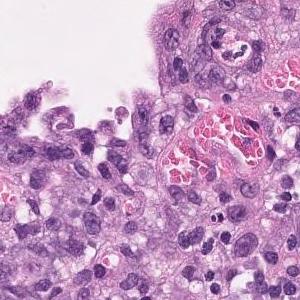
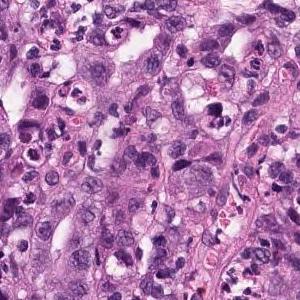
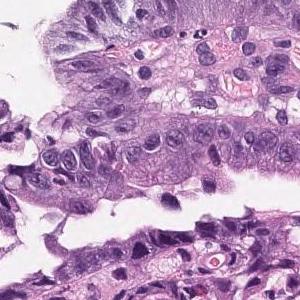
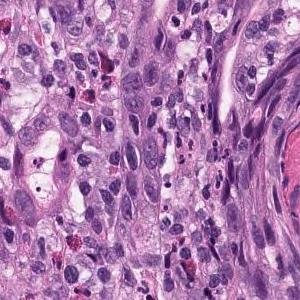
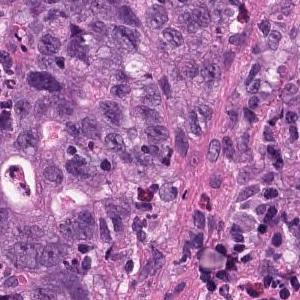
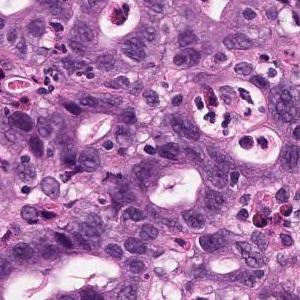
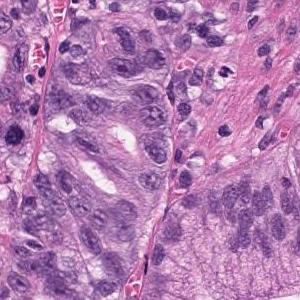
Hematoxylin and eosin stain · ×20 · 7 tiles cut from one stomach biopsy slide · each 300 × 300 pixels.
Pathology report for the biopsy slide these tiles were cut from. The report and the diagnosis cover the entire slide, so not every feature they name need be visible here, and some tissue shown may not be tumor.
Atypical ducts proliferating with obscure duct construction and solid sequences is observed. Moderately to poorly differentiated adenocarcinoma.
